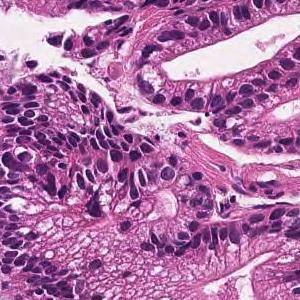
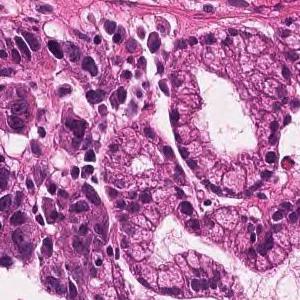
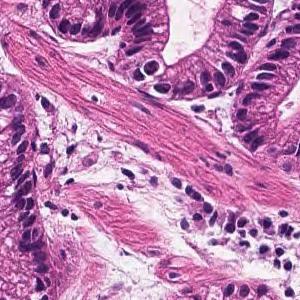
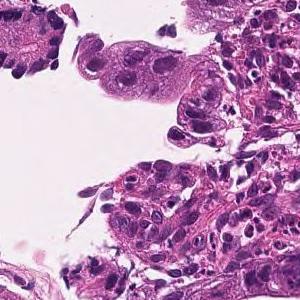
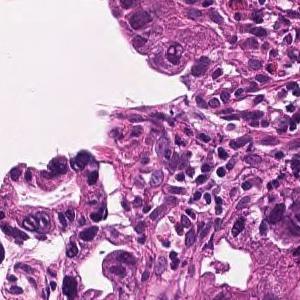
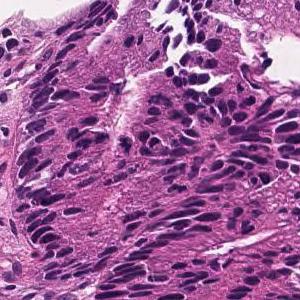
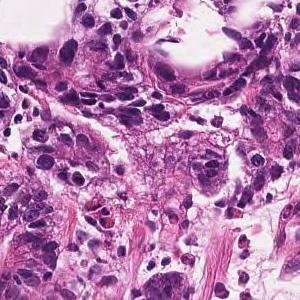
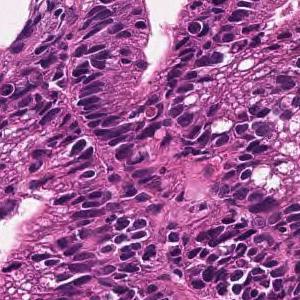
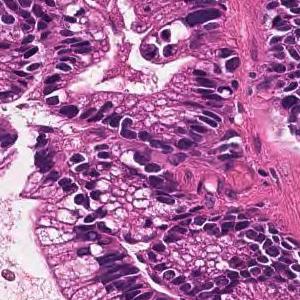
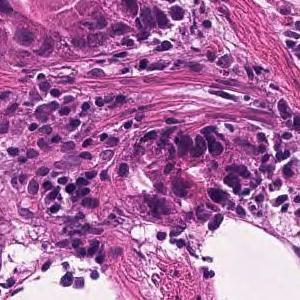
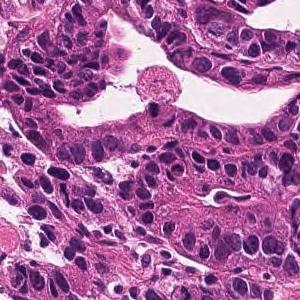
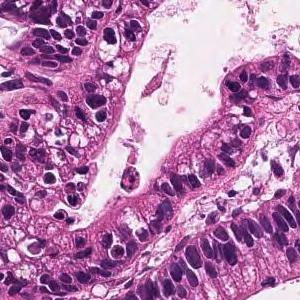
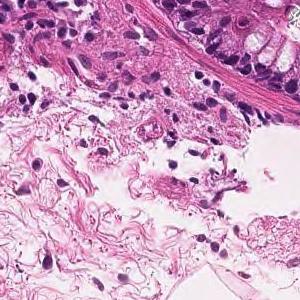
13 patches cut from one gastric biopsy slide, H&E, 20× magnification.
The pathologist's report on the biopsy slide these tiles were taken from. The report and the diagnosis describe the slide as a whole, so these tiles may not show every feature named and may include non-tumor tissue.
In the superficial epithelium, tumor tissue that invades by forming medium-sized to small, irregular ducts is observed. moderately differentiated tubular adenocarcinoma.
